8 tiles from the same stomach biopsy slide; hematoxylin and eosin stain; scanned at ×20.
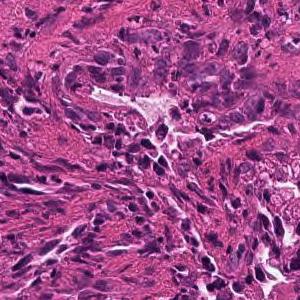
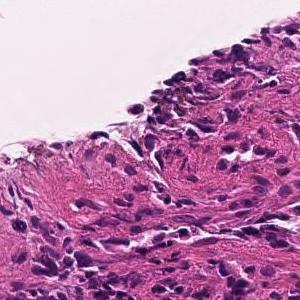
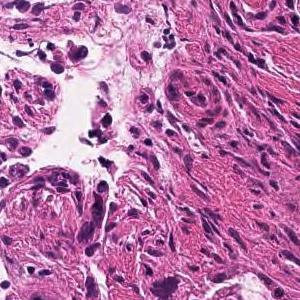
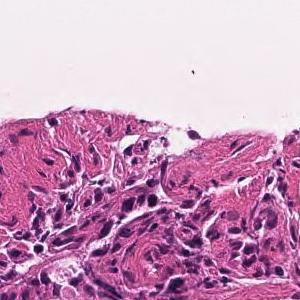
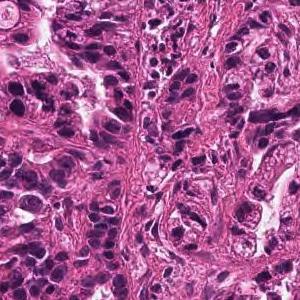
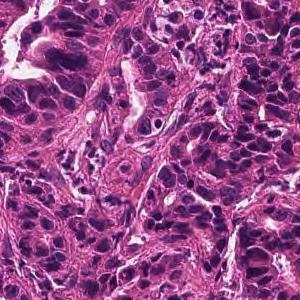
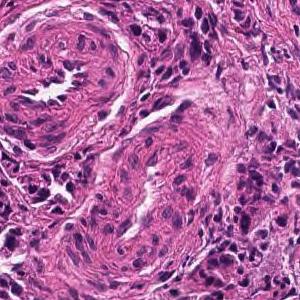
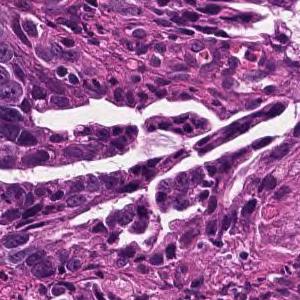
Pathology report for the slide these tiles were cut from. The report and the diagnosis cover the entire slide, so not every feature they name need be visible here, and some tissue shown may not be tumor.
In the superficial epithelium, tumor tissue that invades by forming medium-sized to small, irregular ducts is observed. moderately differentiated tubular adenocarcinoma.
